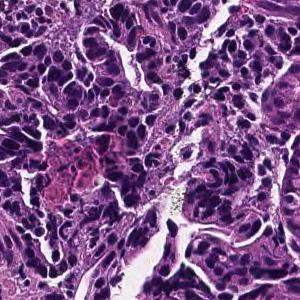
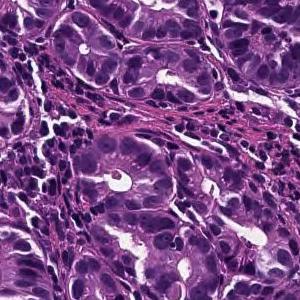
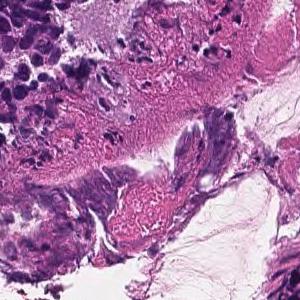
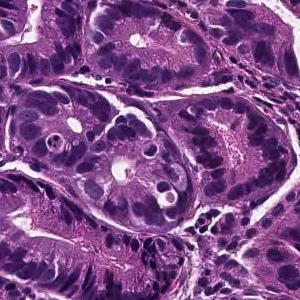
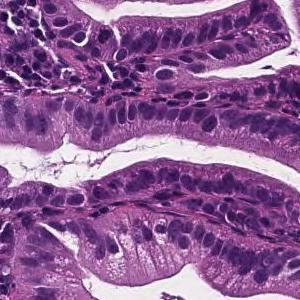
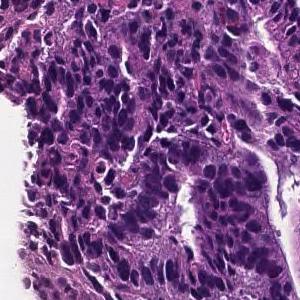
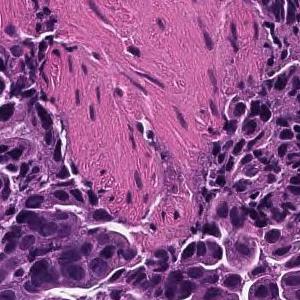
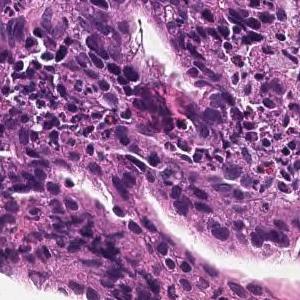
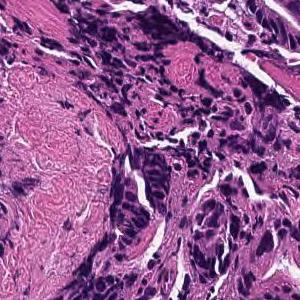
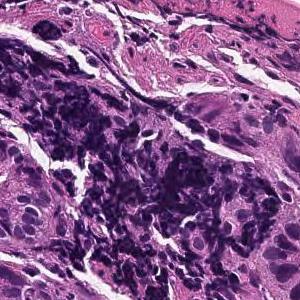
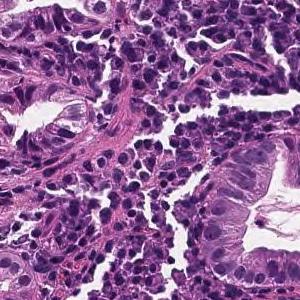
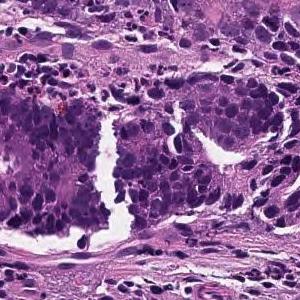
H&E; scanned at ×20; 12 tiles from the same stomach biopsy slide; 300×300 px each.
Pathology report for the slide these tiles were cut from. The report describes the whole slide, diagnosis included: not every finding it names need appear in these tiles, which may also show non-tumor tissue.
On the superficial epithelium, tumor tissue consisting of large irregular glandular ducts partially fused and infiltrated is observed. Well to moderately differentiated tubular adenocarcinoma (well differentiated tubular adenocarcinoma, moderately differentiated tubular adenocarcinoma)
Classified as well to moderately differentiated tubular adenocarcinoma.
